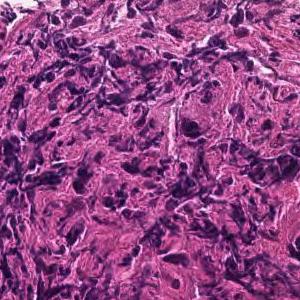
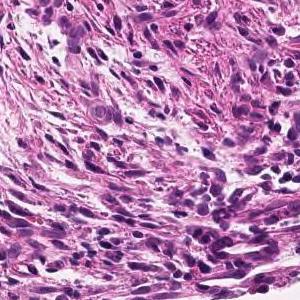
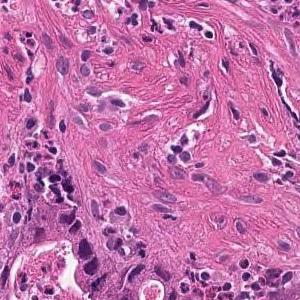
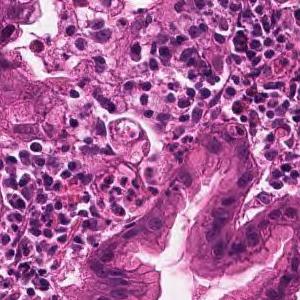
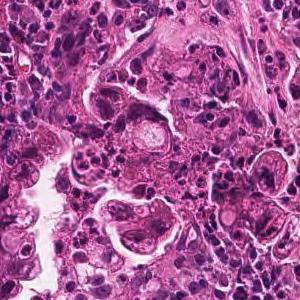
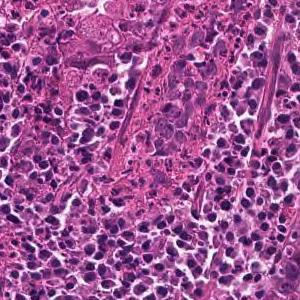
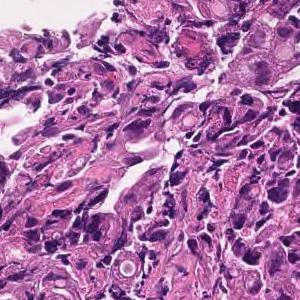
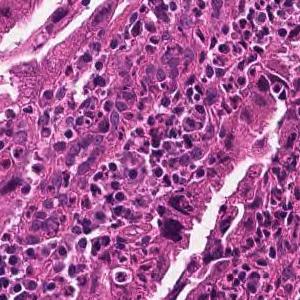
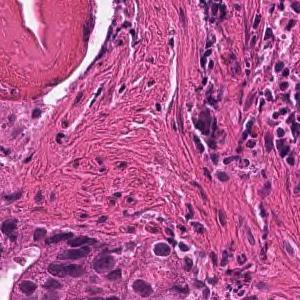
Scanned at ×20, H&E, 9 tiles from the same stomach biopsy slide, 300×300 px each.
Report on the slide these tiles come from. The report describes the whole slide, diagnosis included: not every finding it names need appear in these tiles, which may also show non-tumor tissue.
Medium to small, irregular glandular ducts are formed in the superficial epithelium, and in some cases, the glandular ducts are fused to show solid alveolar lesions and infiltrating tumor tissue is observed. Moderately to poorly differentiated adenocarcinoma.
